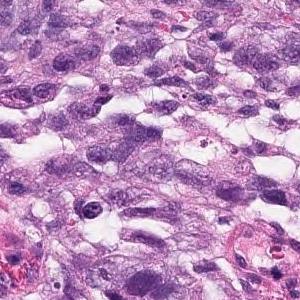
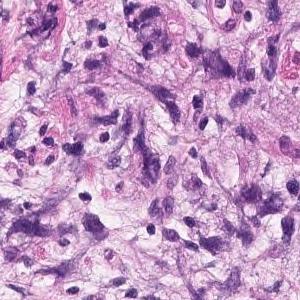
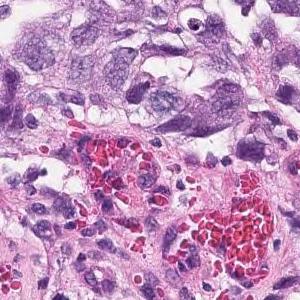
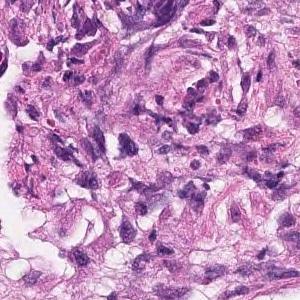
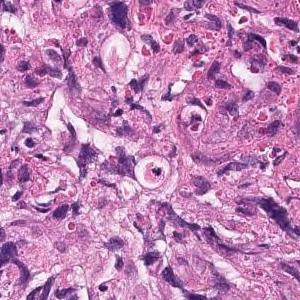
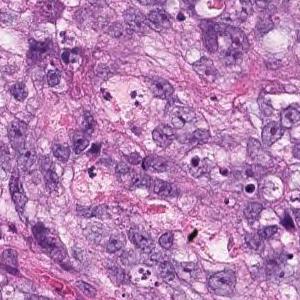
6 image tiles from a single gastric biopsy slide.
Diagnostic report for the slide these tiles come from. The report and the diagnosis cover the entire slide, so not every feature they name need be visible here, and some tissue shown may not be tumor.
The superficial epithelium shows a large sheet-like shape, and some tumor tissue infiltrates with small irregular ducts. Poorly differentiated adenocarcinoma, solid-type
Classified as poorly differentiated adenocarcinoma, solid type, a category of the Japanese Classification of Gastric Carcinoma; in the WHO 2019 classification it is tubular adenocarcinoma, poorly differentiated.
